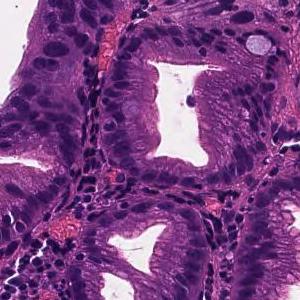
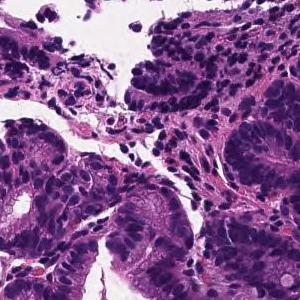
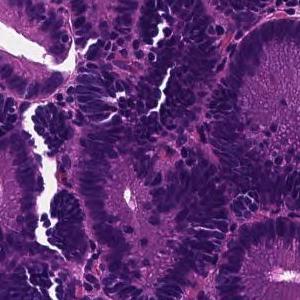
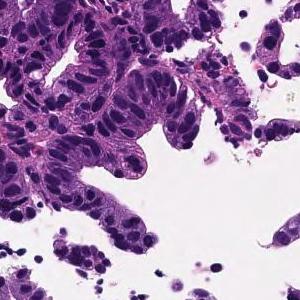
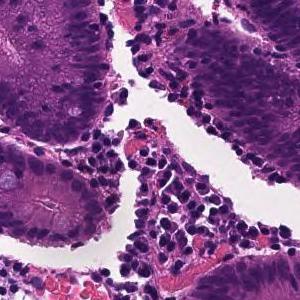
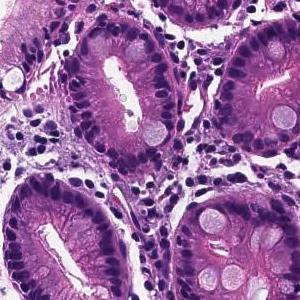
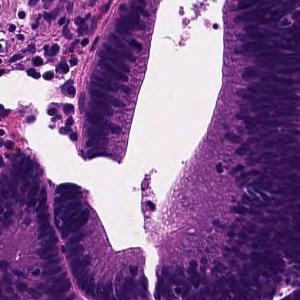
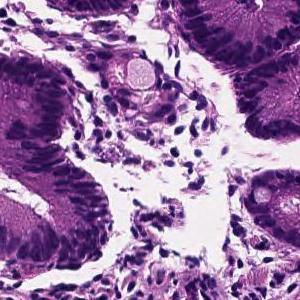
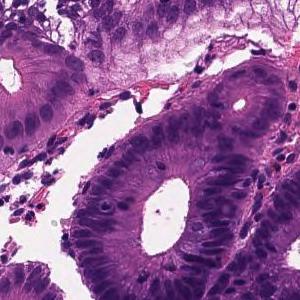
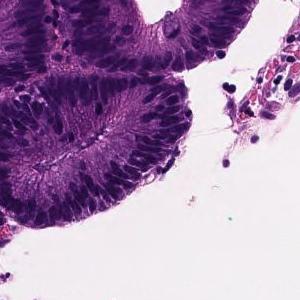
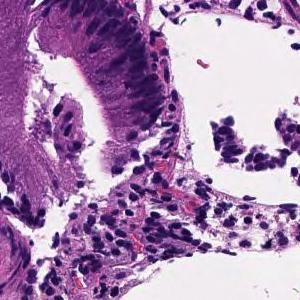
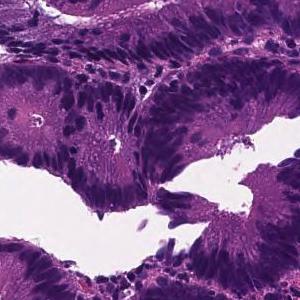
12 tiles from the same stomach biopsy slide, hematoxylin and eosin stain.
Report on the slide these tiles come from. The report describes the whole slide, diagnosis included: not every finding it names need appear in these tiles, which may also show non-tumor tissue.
Tumor tissue in which medium to small irregular ducts infiltrate and proliferate in the submucosa can be seen in the epithelium. Well differentiated tubular adenocarcinoma
